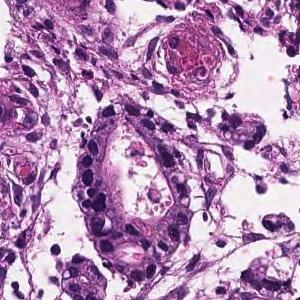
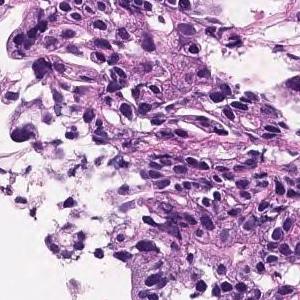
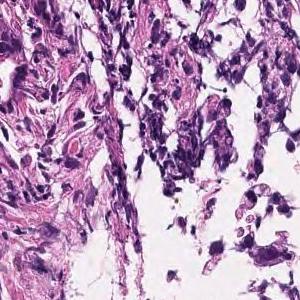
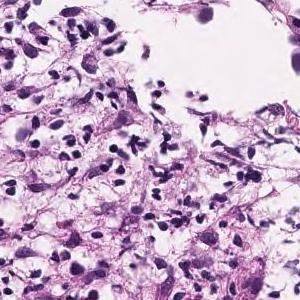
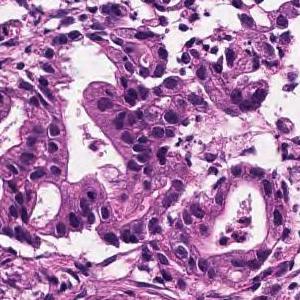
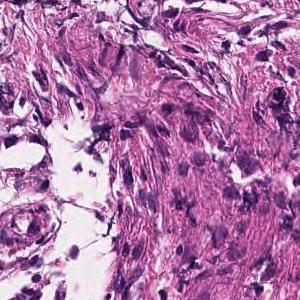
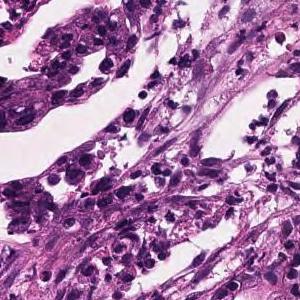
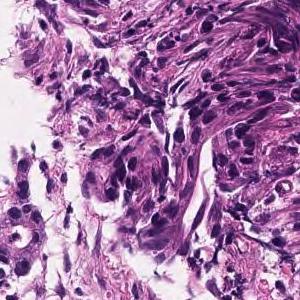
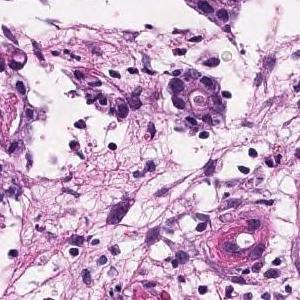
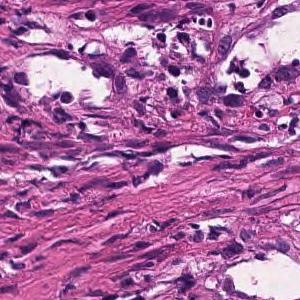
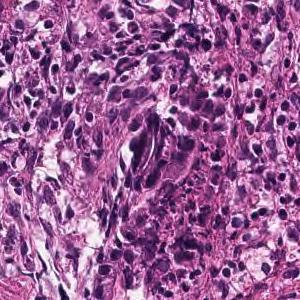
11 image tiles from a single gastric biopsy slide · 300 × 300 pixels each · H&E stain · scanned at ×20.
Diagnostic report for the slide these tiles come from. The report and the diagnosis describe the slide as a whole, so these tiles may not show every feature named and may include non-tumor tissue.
In the superficial epithelium, medium to small, irregular gland ducts are formed, and in some cases, the gland ducts are fused to show solid alveolar lesions and infiltrating tumor tissue is observed. Moderately to poorly differentiated adenocarcinoma.
